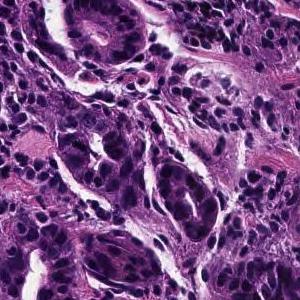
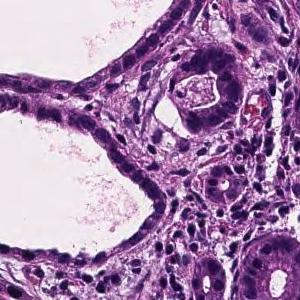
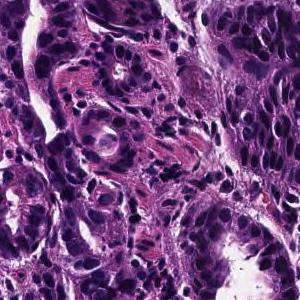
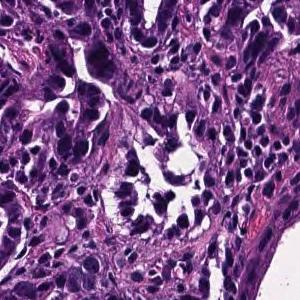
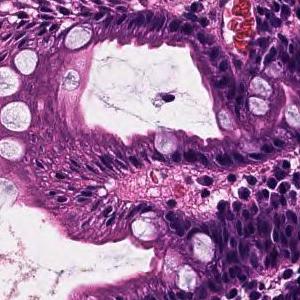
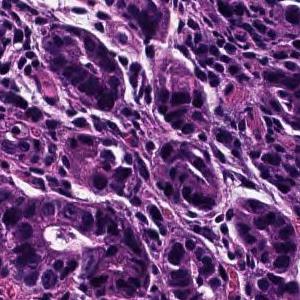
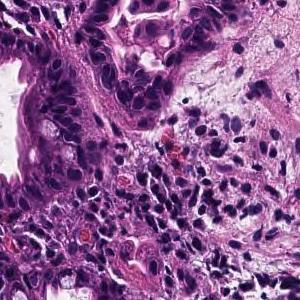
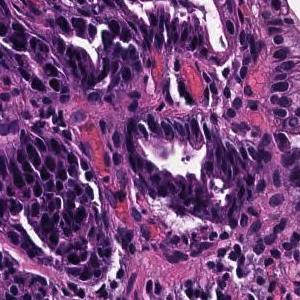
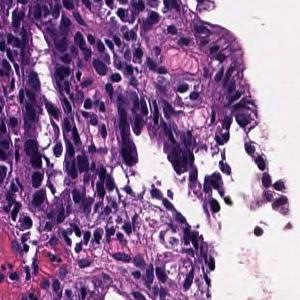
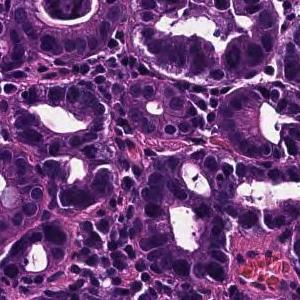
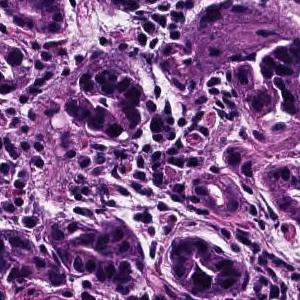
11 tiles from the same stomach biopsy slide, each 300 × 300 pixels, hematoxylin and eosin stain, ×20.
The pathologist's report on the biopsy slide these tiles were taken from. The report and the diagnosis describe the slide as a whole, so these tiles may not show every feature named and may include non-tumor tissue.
On the superficial epithelium, tumor tissue consisting of proliferative images of medium-sized to small-sized round or irregular glandular ducts is observed. Well differentiated tubular adenocarcinoma
